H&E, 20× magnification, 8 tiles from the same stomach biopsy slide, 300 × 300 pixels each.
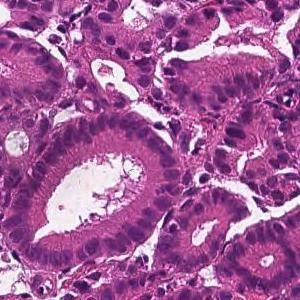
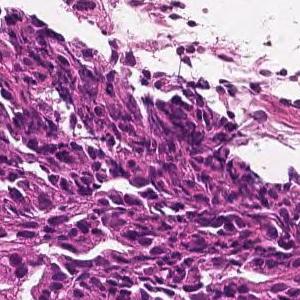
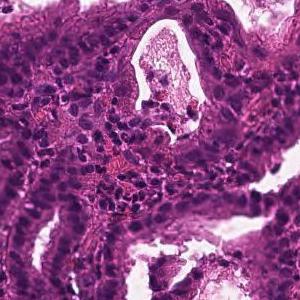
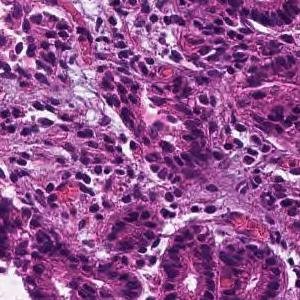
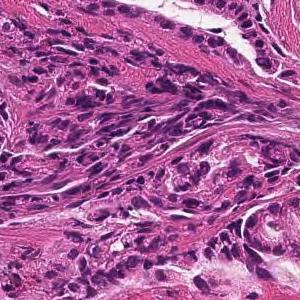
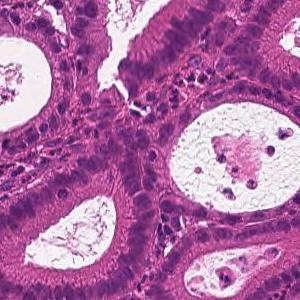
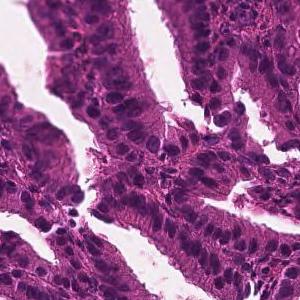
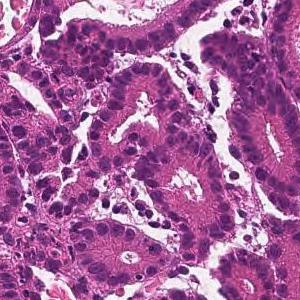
Diagnostic report for the slide these tiles come from. The report describes the whole slide, diagnosis included: not every finding it names need appear in these tiles, which may also show non-tumor tissue.
From the superficial epithelium to the muscularis mucosae, tumor tissue consisting of medium-sized and irregular glandular ducts infiltrating is observed. Well differentiated tubular adenocarcinoma
